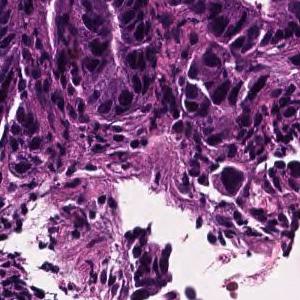
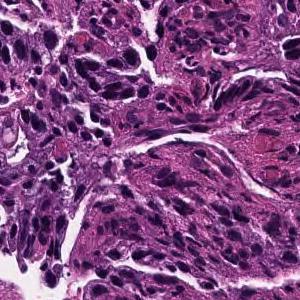
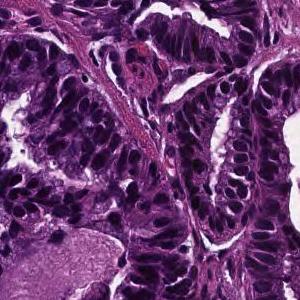
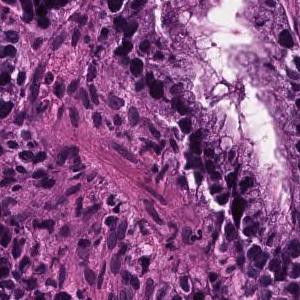
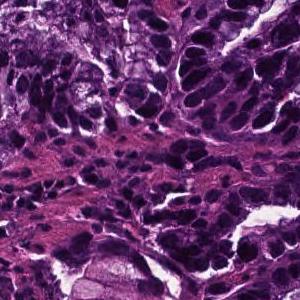
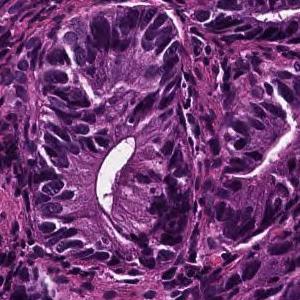
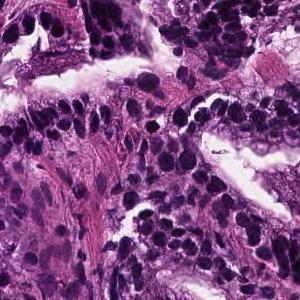
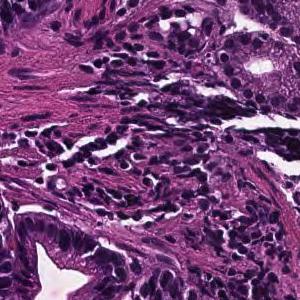
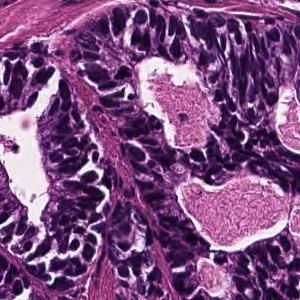
9 tiles from the same stomach biopsy slide · 300 × 300 pixels each · H&E stain.
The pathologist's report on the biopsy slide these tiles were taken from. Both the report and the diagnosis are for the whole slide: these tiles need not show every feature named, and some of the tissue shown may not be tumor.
In the superficial epithelium, tumor tissue that invades by forming medium-sized to small, irregular ducts is observed. Well differentiated tubular adenocarcinoma.
